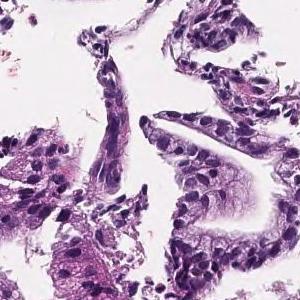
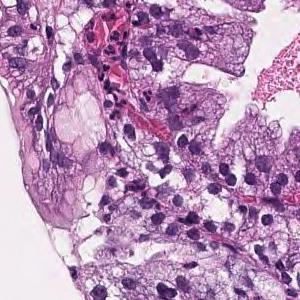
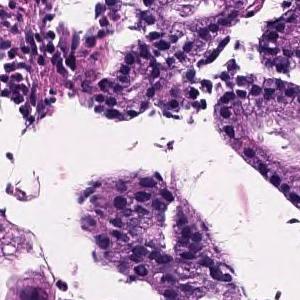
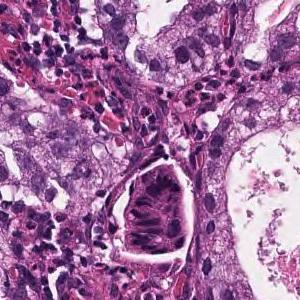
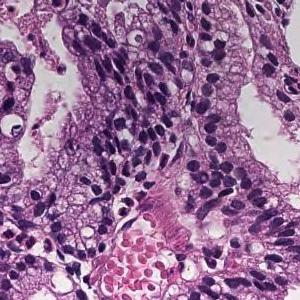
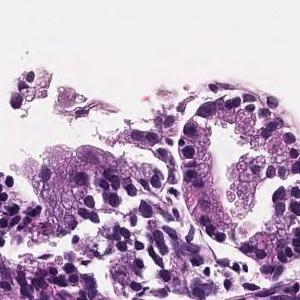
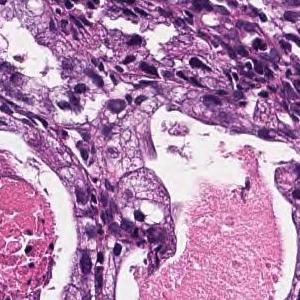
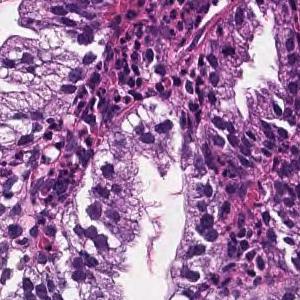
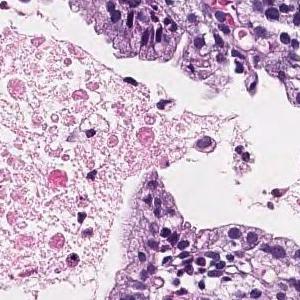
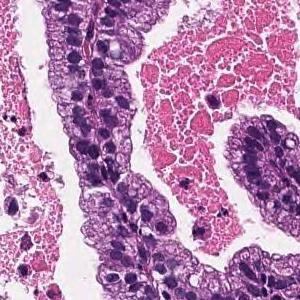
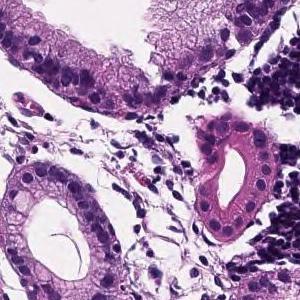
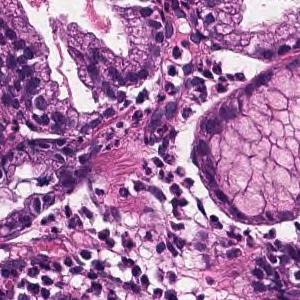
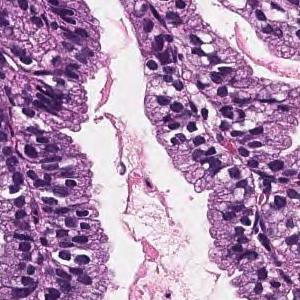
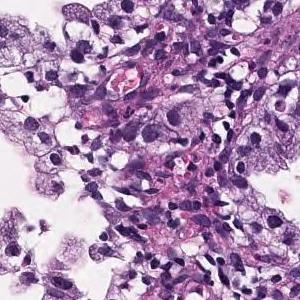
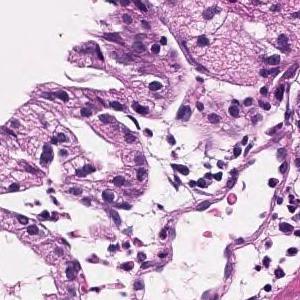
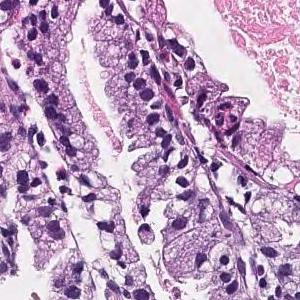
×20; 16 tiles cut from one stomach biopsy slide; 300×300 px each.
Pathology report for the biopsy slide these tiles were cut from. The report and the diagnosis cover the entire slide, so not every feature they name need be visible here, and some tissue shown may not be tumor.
In the superficial epithelium, tumor tissue that infiltrates by forming medium-sized papillary or small irregular ducts is observed. Papillary adenocarcinoma
